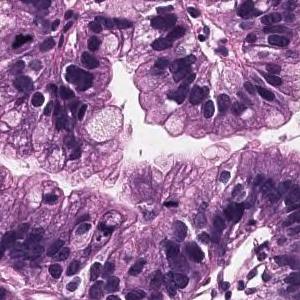
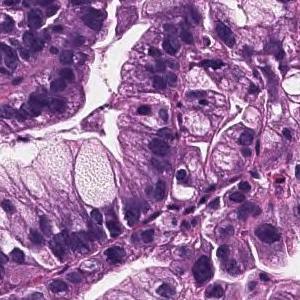
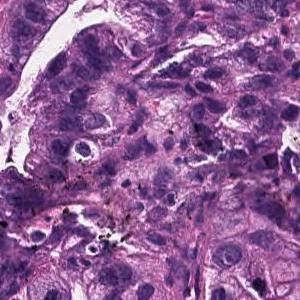
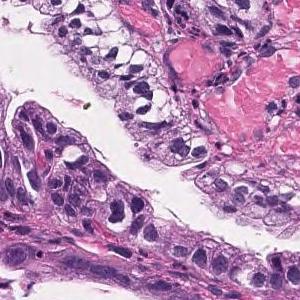
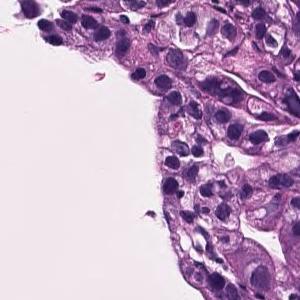
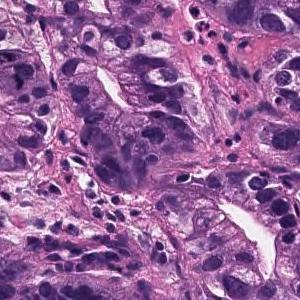
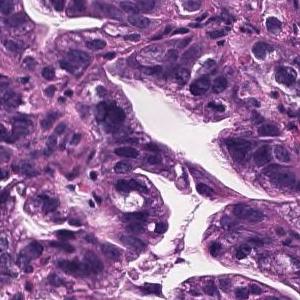
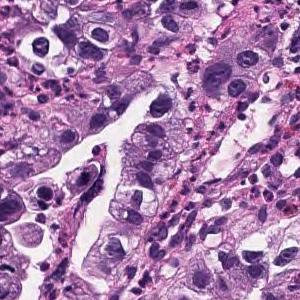
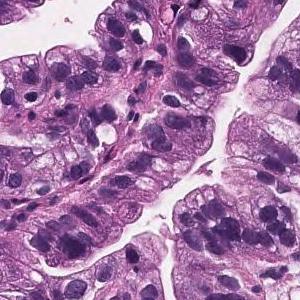
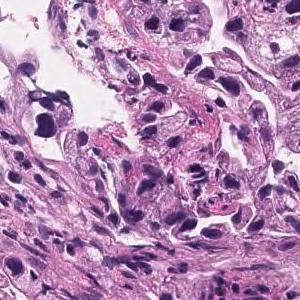
H&E stain; 10 tiles from the same stomach biopsy slide.
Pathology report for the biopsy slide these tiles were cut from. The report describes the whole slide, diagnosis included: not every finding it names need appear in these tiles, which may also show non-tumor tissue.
Tumor cells are large, highly columnar, large club-shaped nuclei, and are associated with chromatin aggregation. Papillary adenocarcinoma.
